20× magnification, H&E, 12 patches cut from one gastric biopsy slide, 300×300 px each.
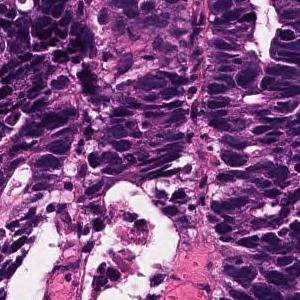
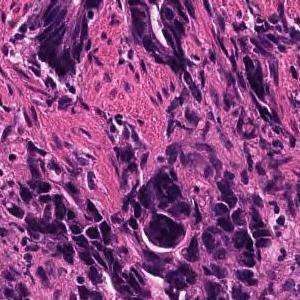
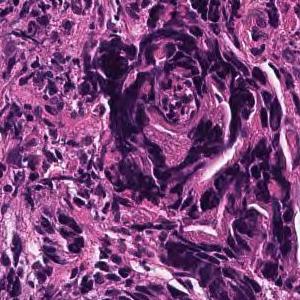
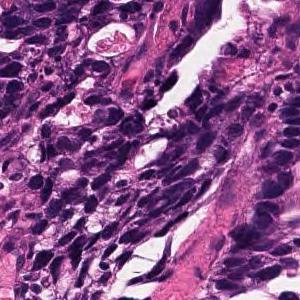
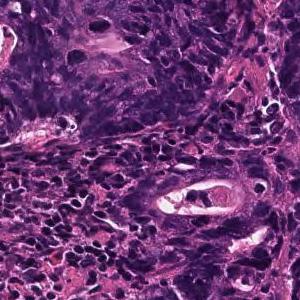
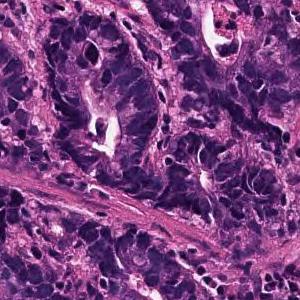
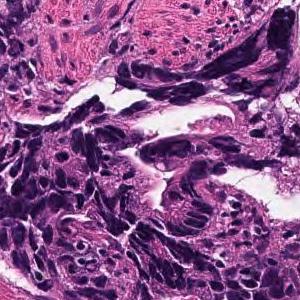
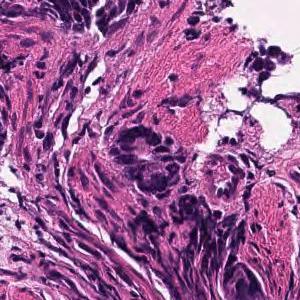
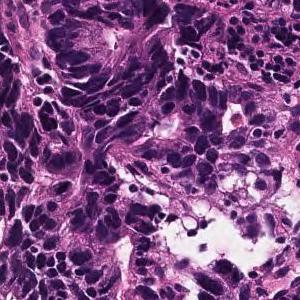
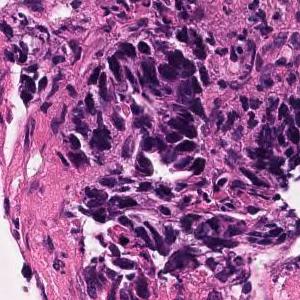
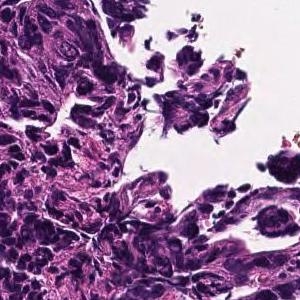
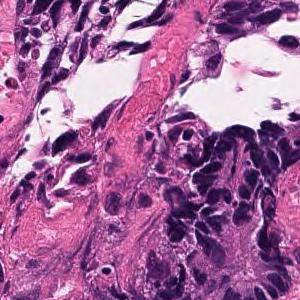
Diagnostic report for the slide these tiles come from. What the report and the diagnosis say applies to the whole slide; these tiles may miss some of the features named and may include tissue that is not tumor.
Large and small irregular small glandular ducts forming and infiltrating. moderately differentiated tubular adenocarcinoma
